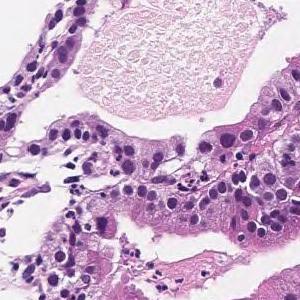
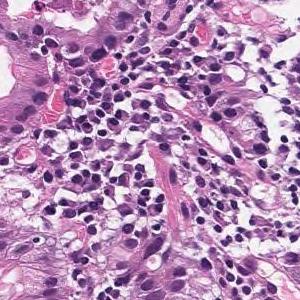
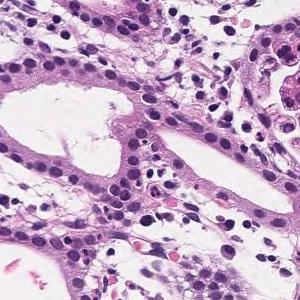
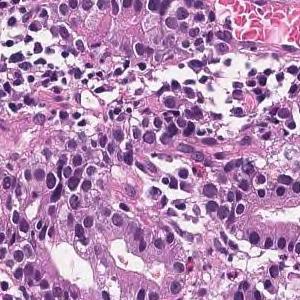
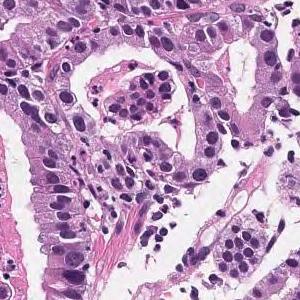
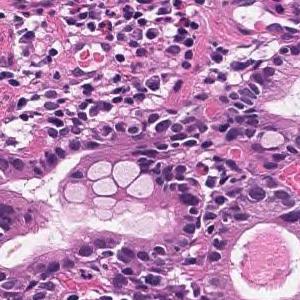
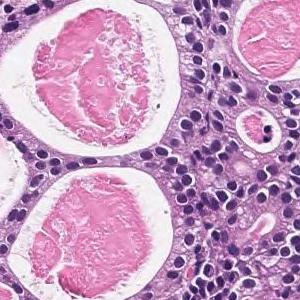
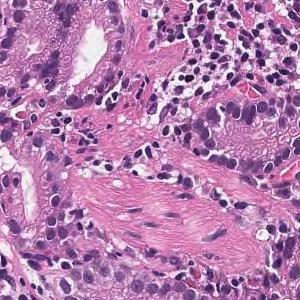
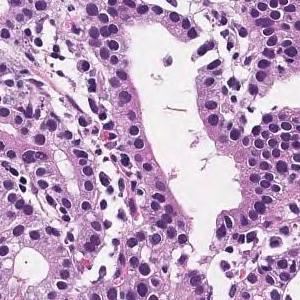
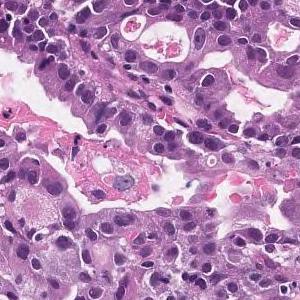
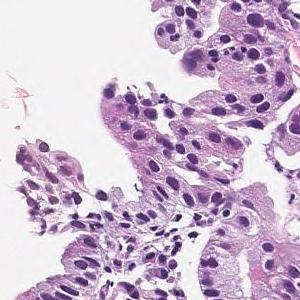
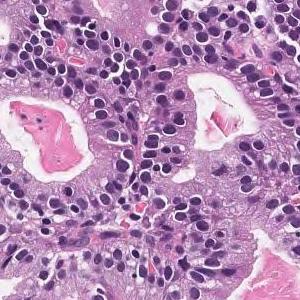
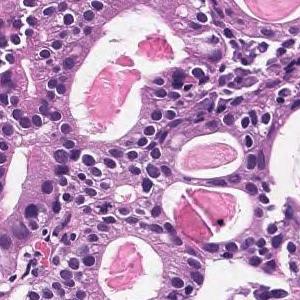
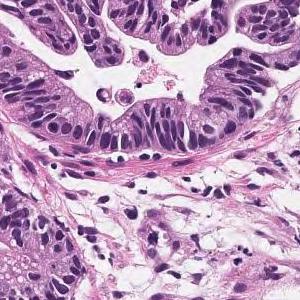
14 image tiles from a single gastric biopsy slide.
The pathologist's report on the biopsy slide these tiles were taken from. The report and the diagnosis cover the entire slide, so not every feature they name need be visible here, and some tissue shown may not be tumor.
Medium to small, irregular glandular ducts are formed in the superficial epithelium, and in some cases, the glandular ducts are fused to show solid alveolar lesions and infiltrating tumor tissue is observed. Moderately to poorly differentiated adenocarcinoma.
